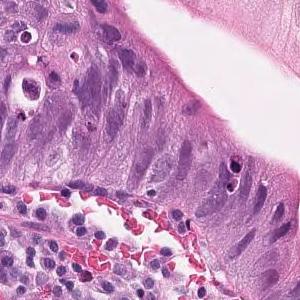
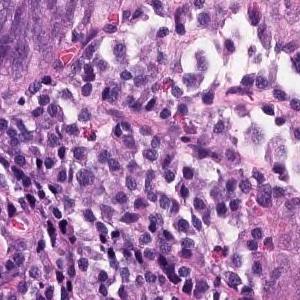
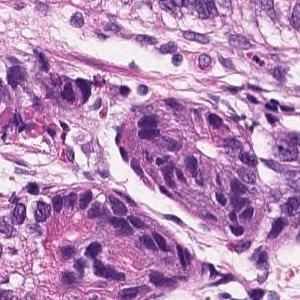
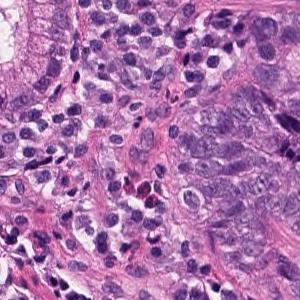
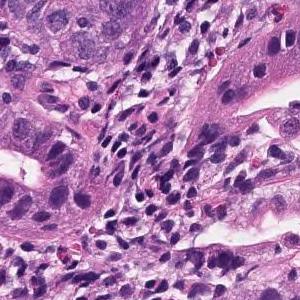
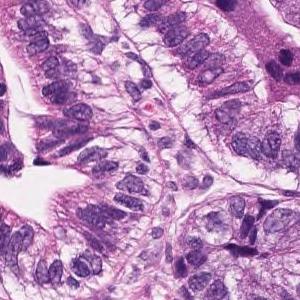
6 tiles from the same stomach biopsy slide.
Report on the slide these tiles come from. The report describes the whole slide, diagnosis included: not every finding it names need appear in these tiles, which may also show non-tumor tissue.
Tumor cells are large, highly columnar, large club-shaped nuclei, and are associated with chromatin aggregation. Papillary adenocarcinoma.
